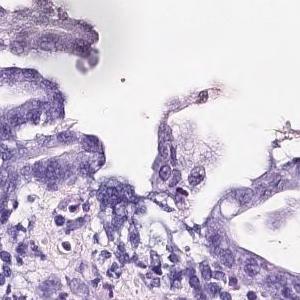
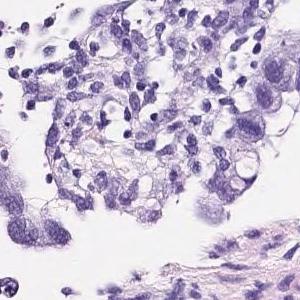
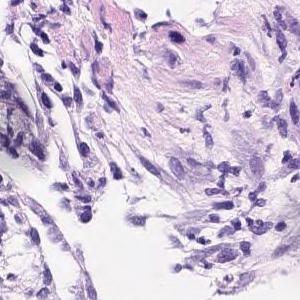
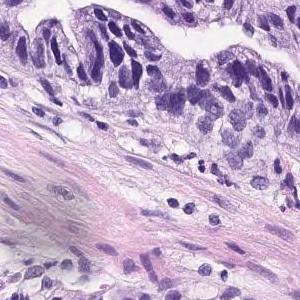
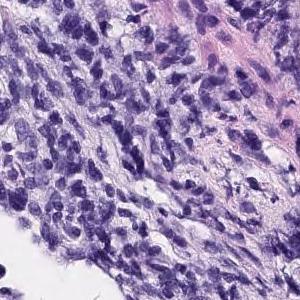
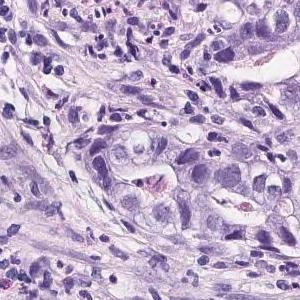
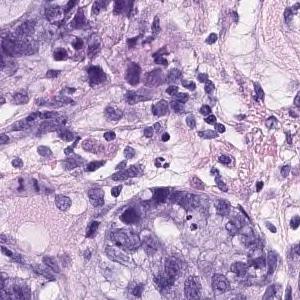
7 image tiles from a single gastric biopsy slide; H&E; scanned at ×20.
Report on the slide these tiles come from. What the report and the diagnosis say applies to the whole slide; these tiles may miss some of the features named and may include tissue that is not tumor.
On the superficial epithelium, tumor tissue consisting of medium to small irregular tubules partially fused and proliferated is observed. moderately differentiated tubular adenocarcinoma
